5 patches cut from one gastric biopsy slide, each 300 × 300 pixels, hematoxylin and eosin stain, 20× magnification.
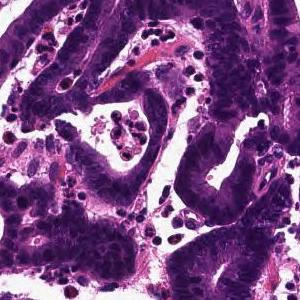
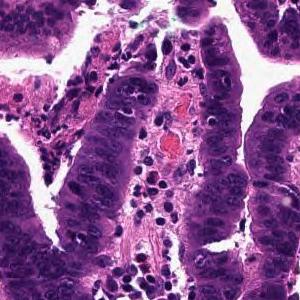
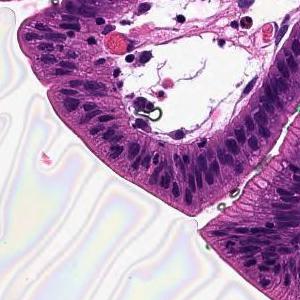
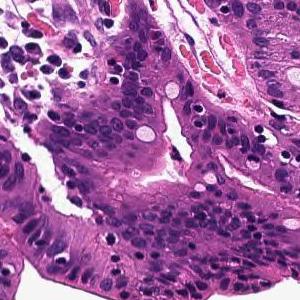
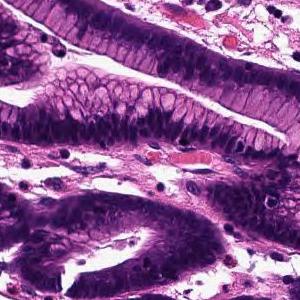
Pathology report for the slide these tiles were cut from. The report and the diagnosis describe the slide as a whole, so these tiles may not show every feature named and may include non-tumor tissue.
Tumor tissue that infiltrates by forming large papillary or large irregular glandular ducts is observed confined to the mucosa. Papillary adenocarcinoma
